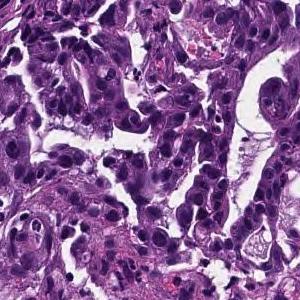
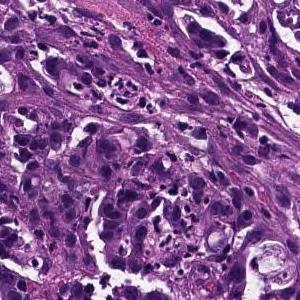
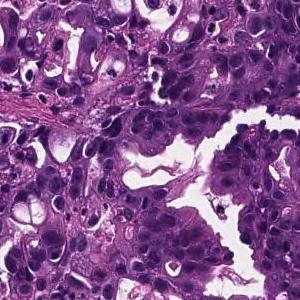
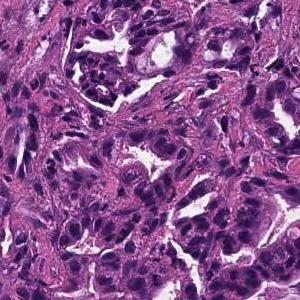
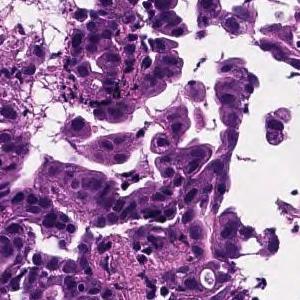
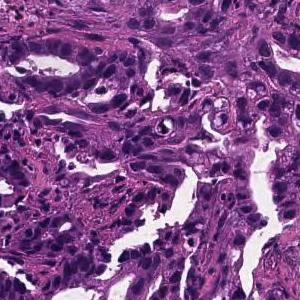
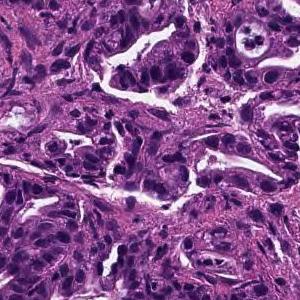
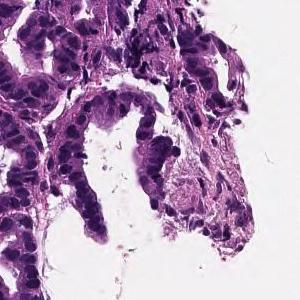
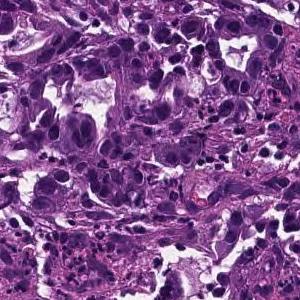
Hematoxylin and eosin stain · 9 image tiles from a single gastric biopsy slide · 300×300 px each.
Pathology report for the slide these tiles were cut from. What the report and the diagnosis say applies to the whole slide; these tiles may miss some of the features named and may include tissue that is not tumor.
Tumor tissue consisting of medium-sized, cord-like or irregular glandular infiltration is observed in the superficial epithelium. Poorly differentiated adenocarcinoma, non-solid type or moderately differentiated tubular adenocarcinoma
Histological subtype: Moderately to poorly differentiated adenocarcinoma.
The term "non-solid type" comes from the Japanese Classification of Gastric Carcinoma.
